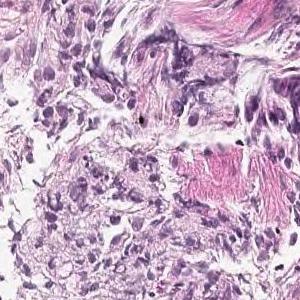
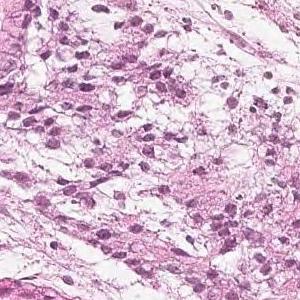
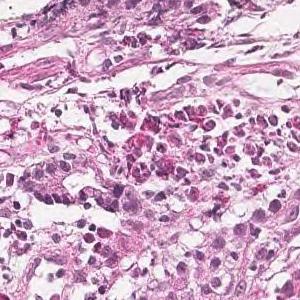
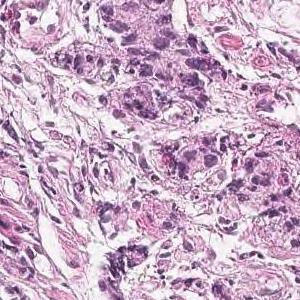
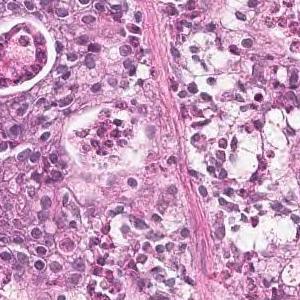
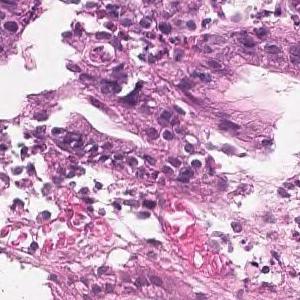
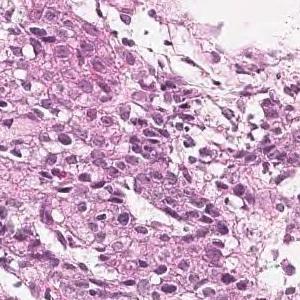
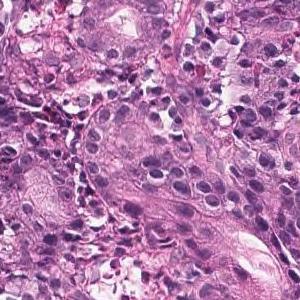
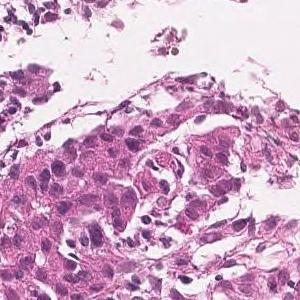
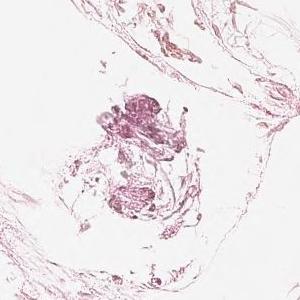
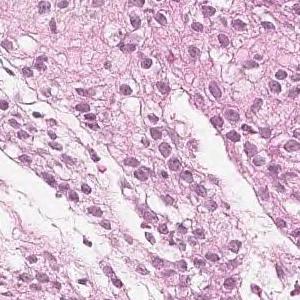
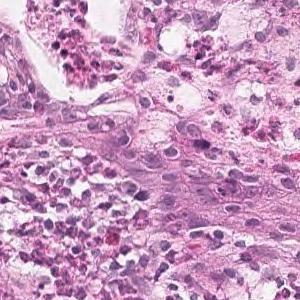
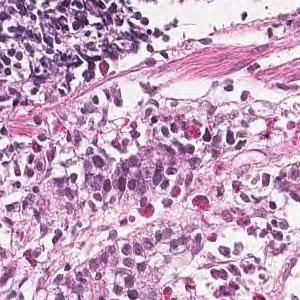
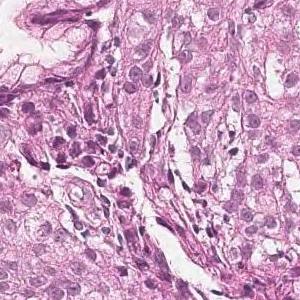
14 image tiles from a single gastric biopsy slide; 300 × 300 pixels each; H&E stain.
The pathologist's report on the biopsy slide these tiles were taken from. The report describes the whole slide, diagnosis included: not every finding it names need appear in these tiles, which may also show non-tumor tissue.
Tumor tissue consisting of medium-sized, cord-like or irregular glandular infiltration is observed in the superficial epithelium. Poorly differentiated adenocarcinoma, non-solid type or moderately differentiated tubular adenocarcinoma
The term "non-solid type" comes from the Japanese Classification of Gastric Carcinoma.
